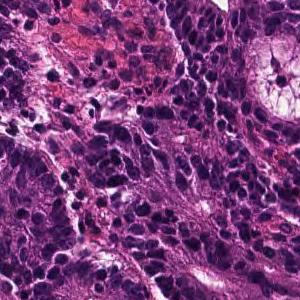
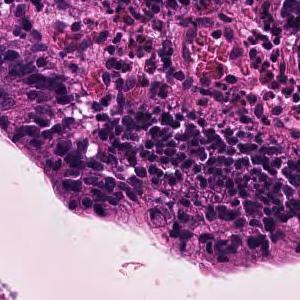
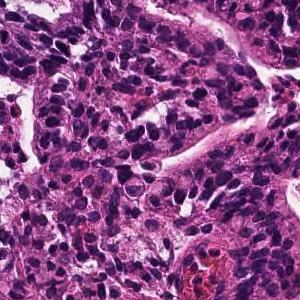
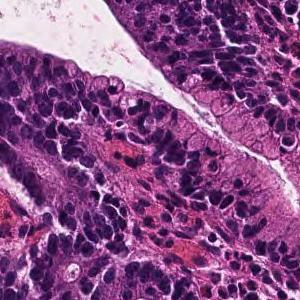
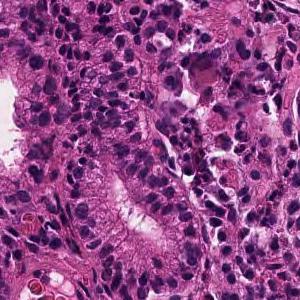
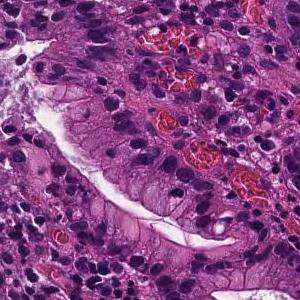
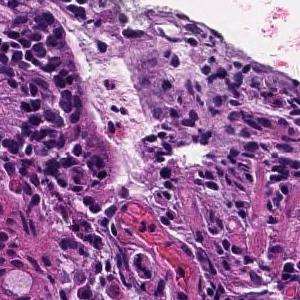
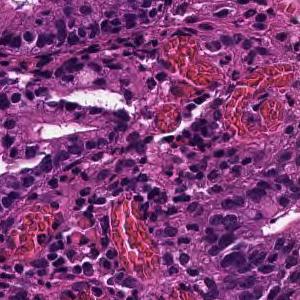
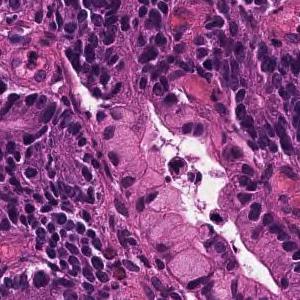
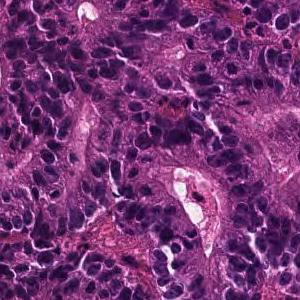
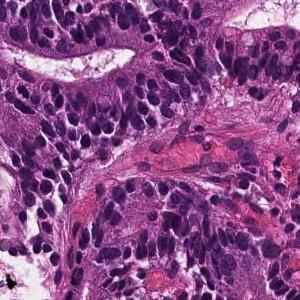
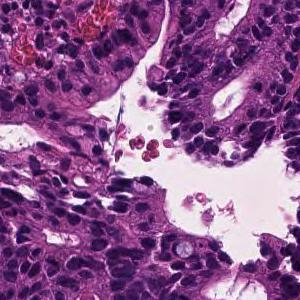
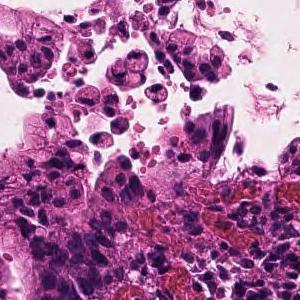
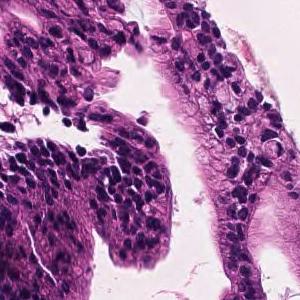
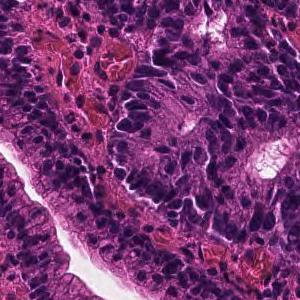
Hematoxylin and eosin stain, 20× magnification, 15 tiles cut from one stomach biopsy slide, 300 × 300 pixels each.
The pathologist's report on the biopsy slide these tiles were taken from. The findings and the diagnosis refer to the entire slide; these tiles show only part of it, possibly with non-tumor tissue, and may not show every feature named.
In the superficial epithelium, tumor tissue that invades by forming medium-sized to small, irregular ducts is observed. moderately differentiated tubular adenocarcinoma.
